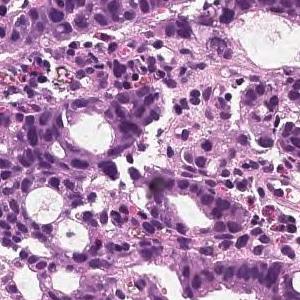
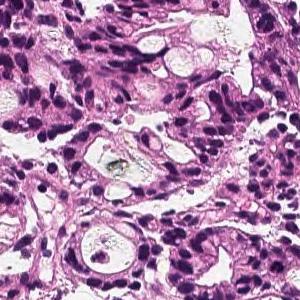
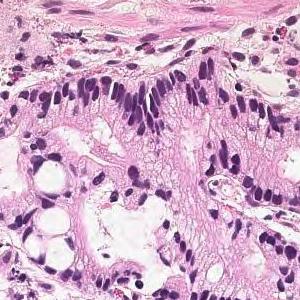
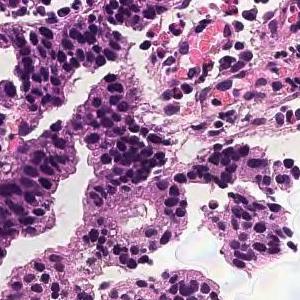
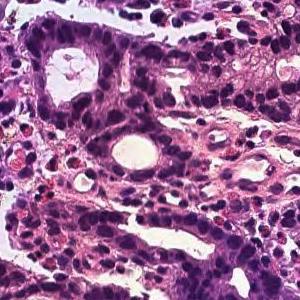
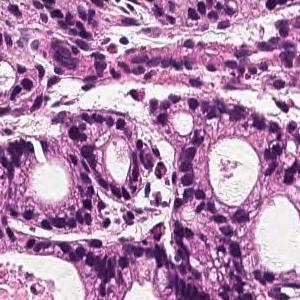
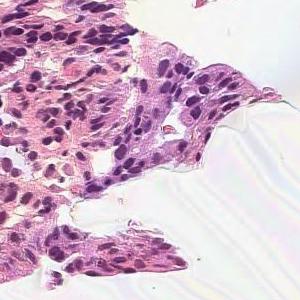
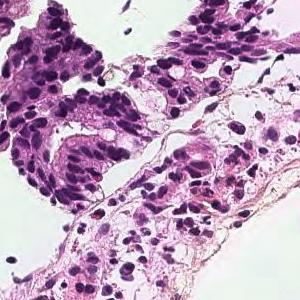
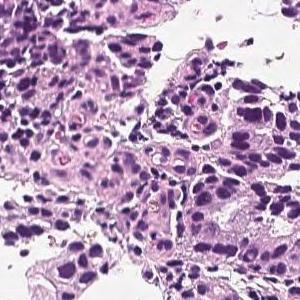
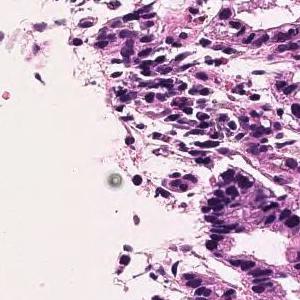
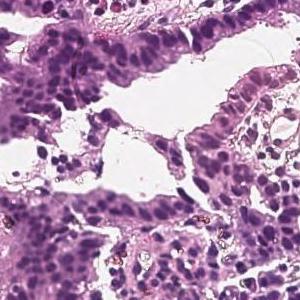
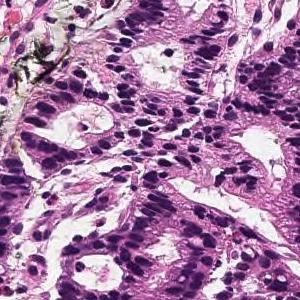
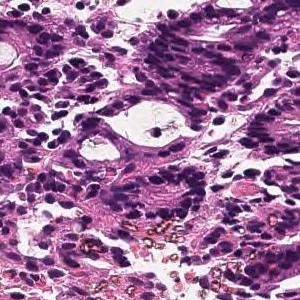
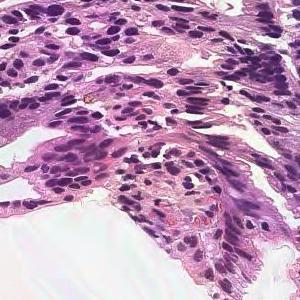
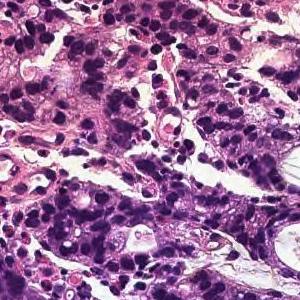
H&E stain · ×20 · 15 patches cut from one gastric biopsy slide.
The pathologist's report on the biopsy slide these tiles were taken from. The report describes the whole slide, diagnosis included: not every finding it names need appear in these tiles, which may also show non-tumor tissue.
In the superficial epithelium, tumor tissue that invades by forming medium-sized to small, irregular ducts is observed. moderately differentiated tubular adenocarcinoma.
